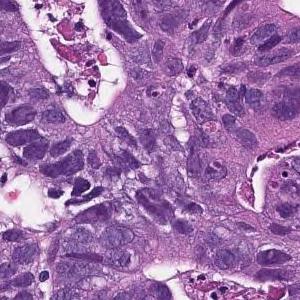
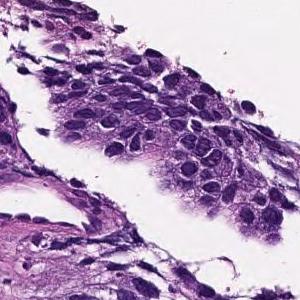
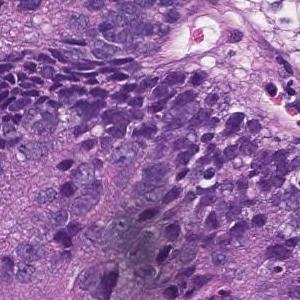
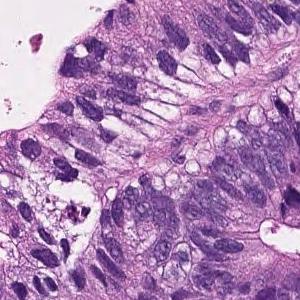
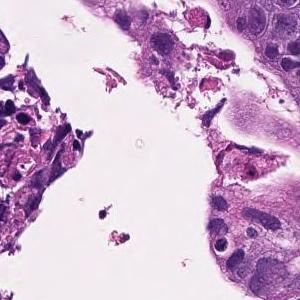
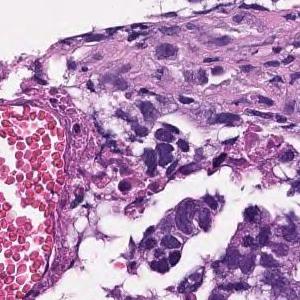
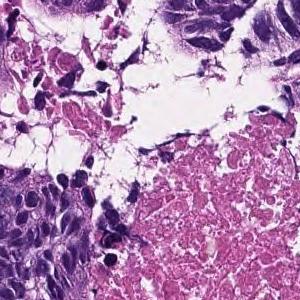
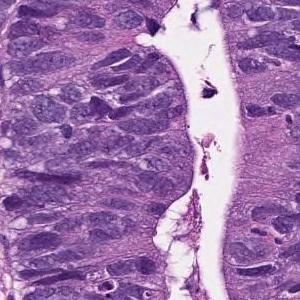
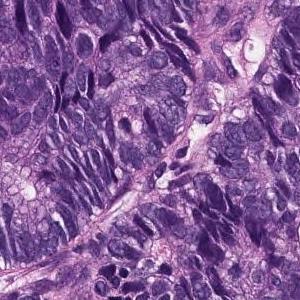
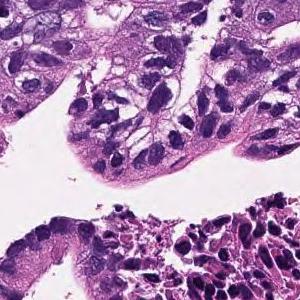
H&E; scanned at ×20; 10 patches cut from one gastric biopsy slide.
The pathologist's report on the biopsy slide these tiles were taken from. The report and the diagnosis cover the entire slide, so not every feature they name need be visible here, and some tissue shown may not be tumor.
In the superficial epithelium, tumor tissue that invades by forming medium-sized to small, irregular ducts is observed. moderately differentiated tubular adenocarcinoma.
